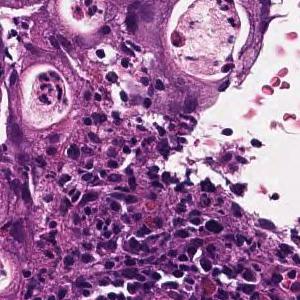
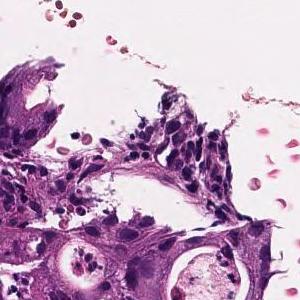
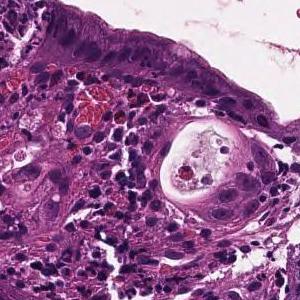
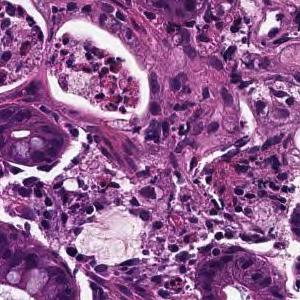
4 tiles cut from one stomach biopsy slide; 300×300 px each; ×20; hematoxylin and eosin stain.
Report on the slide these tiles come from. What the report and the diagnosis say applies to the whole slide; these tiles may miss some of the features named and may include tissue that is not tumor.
Tumor tissue consisting of cord-like or small, irregular glandular ducts fused and infiltrated is observed in the superficial epithelium. Poorly differentiated adenocarcinoma, non-solid type
"Non-solid type" is a category of the Japanese Classification of Gastric Carcinoma.
